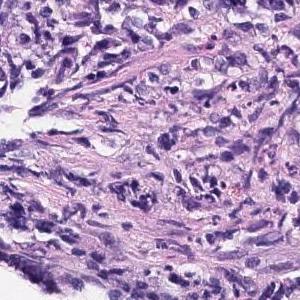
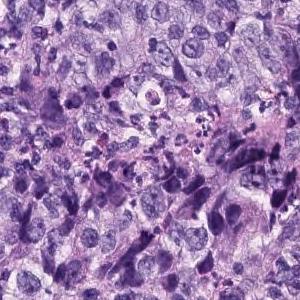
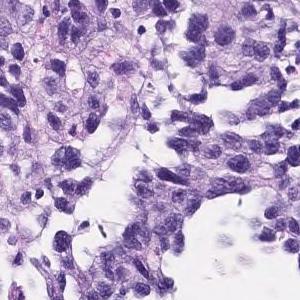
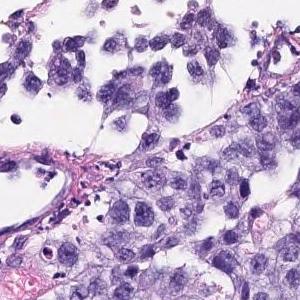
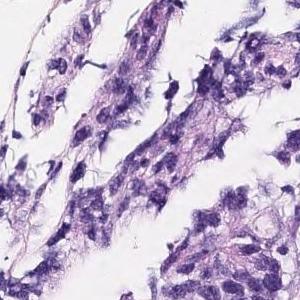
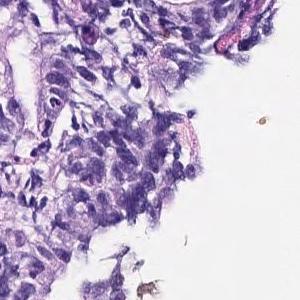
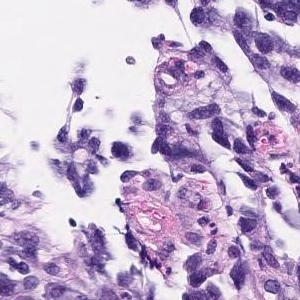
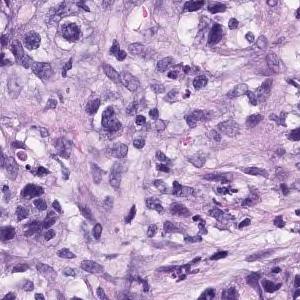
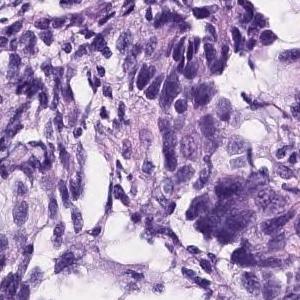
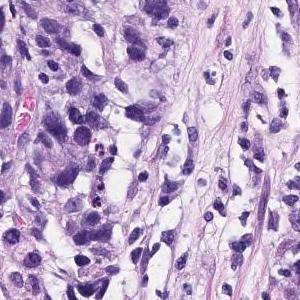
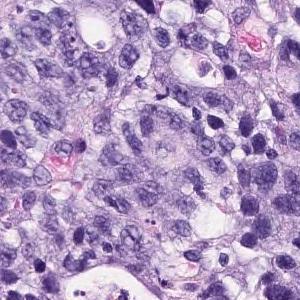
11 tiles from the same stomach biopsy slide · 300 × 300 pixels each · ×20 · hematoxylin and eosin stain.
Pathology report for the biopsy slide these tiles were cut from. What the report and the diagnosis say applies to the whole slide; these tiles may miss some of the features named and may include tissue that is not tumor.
The superficial epithelium shows a large sheet-like shape, and some tumor tissue infiltrates with small irregular ducts. Poorly differentiated adenocarcinoma, solid-type
Tumor subtype: poorly differentiated adenocarcinoma, solid type, a category of the Japanese Classification of Gastric Carcinoma; in the WHO 2019 classification it is tubular adenocarcinoma, poorly differentiated.
